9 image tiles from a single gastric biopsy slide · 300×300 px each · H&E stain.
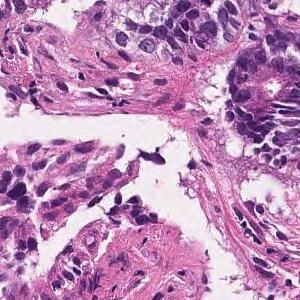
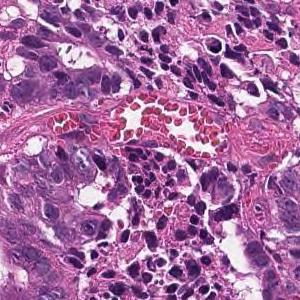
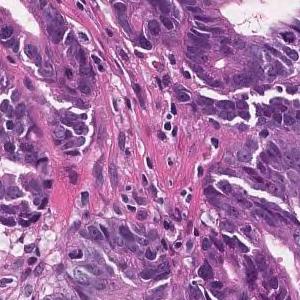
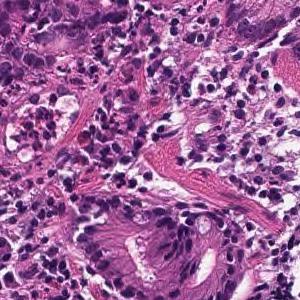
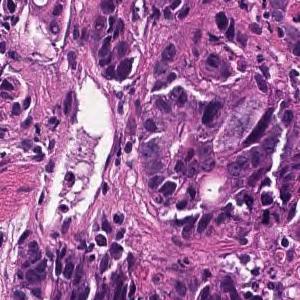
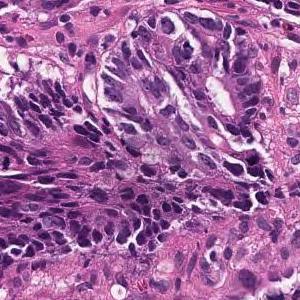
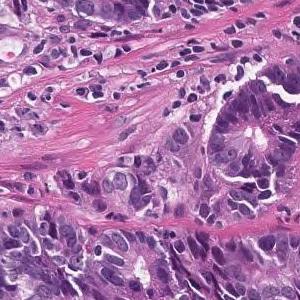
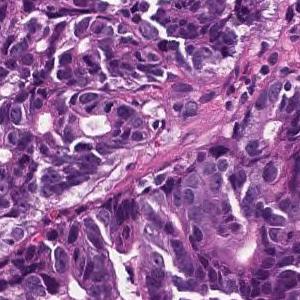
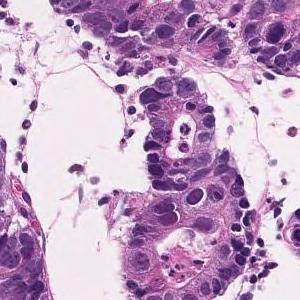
Pathology report for the biopsy slide these tiles were cut from. The findings and the diagnosis refer to the entire slide; these tiles show only part of it, possibly with non-tumor tissue, and may not show every feature named.
In the superficial epithelium, tumor tissue that invades by forming medium-sized to small, irregular ducts is observed. moderately differentiated tubular adenocarcinoma.
